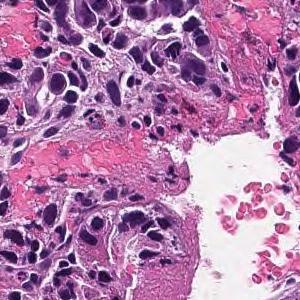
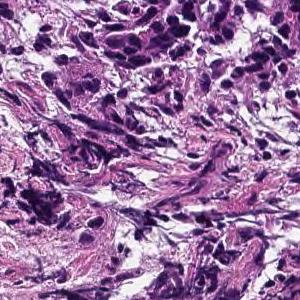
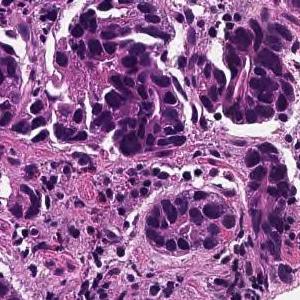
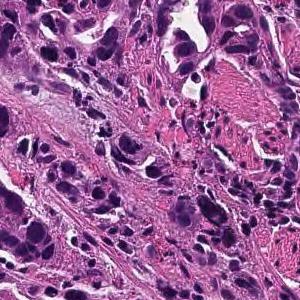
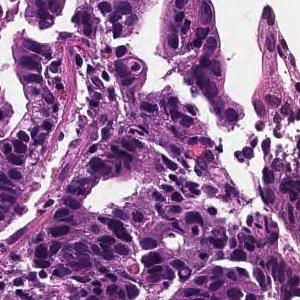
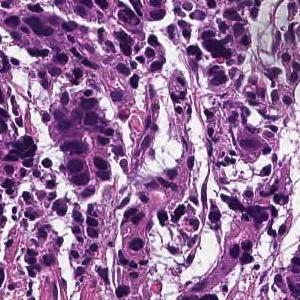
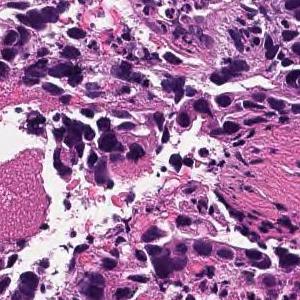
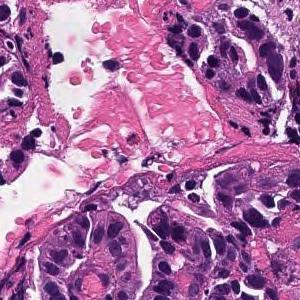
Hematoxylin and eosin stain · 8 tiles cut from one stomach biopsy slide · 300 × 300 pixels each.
Report on the slide these tiles come from. The report describes the whole slide, diagnosis included: not every finding it names need appear in these tiles, which may also show non-tumor tissue.
In the superficial epithelium, tumor tissue that invades by forming medium-sized to small, irregular ducts is observed. moderately differentiated tubular adenocarcinoma.
